Hematoxylin and eosin stain; 6 tiles cut from one stomach biopsy slide; 300 × 300 pixels each.
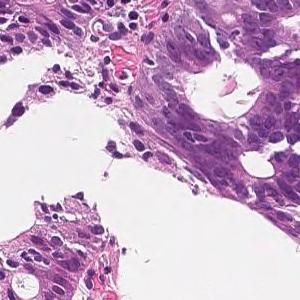
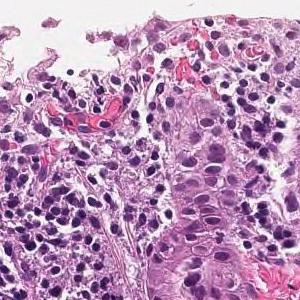
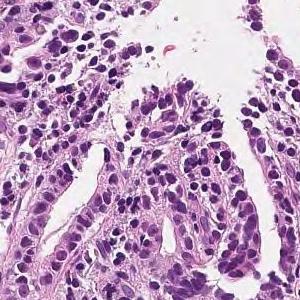
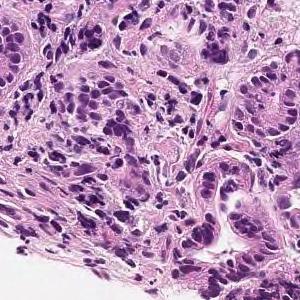
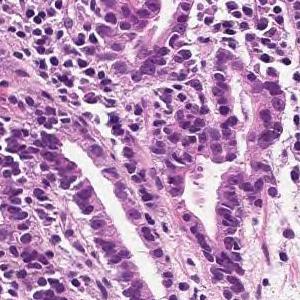
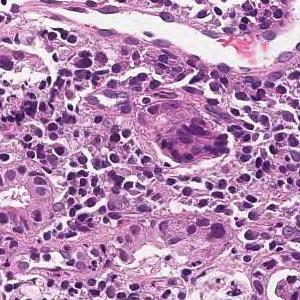
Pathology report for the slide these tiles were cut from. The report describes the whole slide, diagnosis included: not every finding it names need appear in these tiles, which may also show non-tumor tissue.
In the superficial epithelium, tumor tissue that invades by forming medium-sized to small, irregular ducts is observed. moderately differentiated tubular adenocarcinoma.
